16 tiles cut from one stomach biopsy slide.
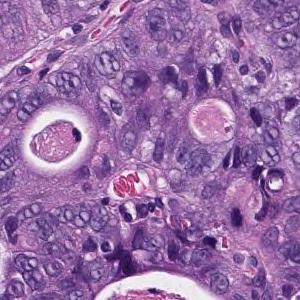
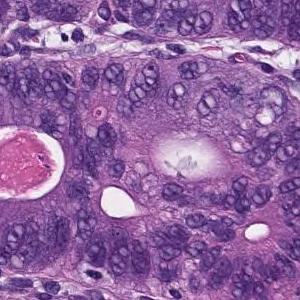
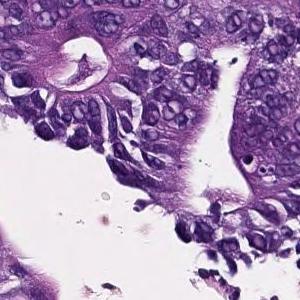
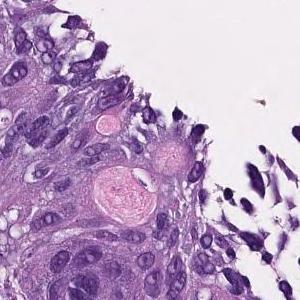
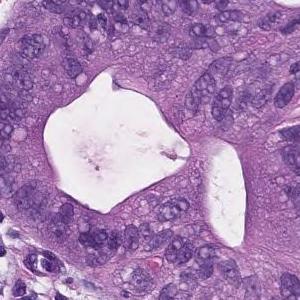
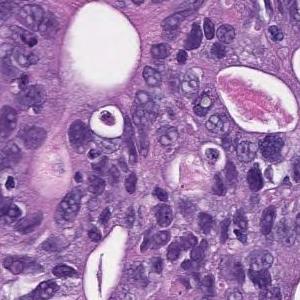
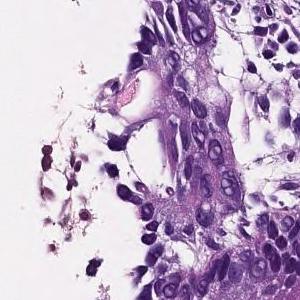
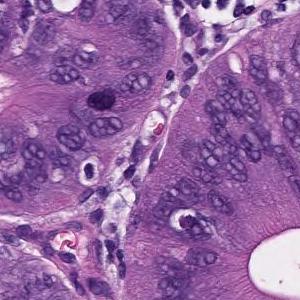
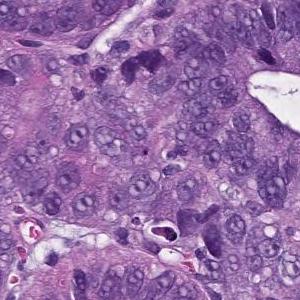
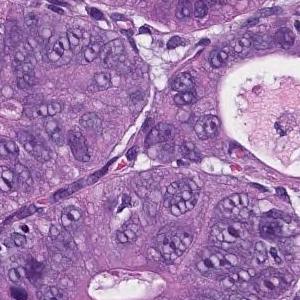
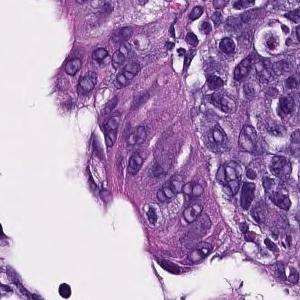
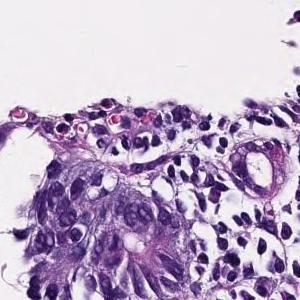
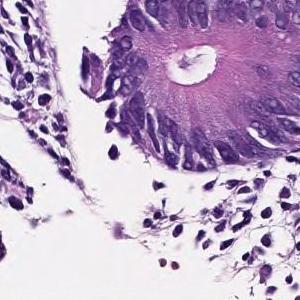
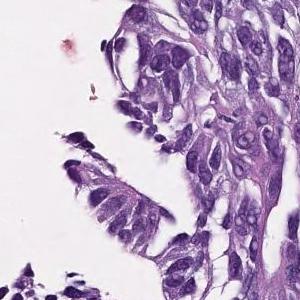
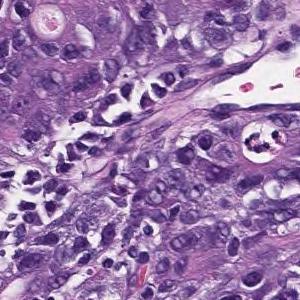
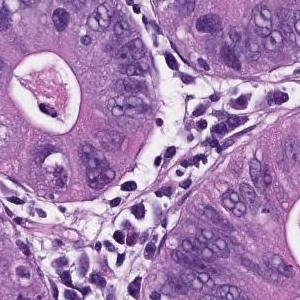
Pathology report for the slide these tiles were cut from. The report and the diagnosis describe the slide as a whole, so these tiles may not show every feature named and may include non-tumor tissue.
In the superficial epithelium, tumor tissue that invades by forming medium-sized to small, irregular ducts is observed. moderately differentiated tubular adenocarcinoma.
